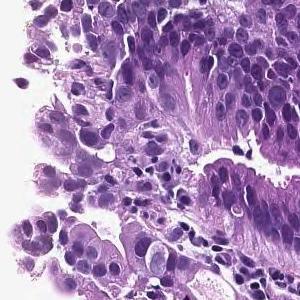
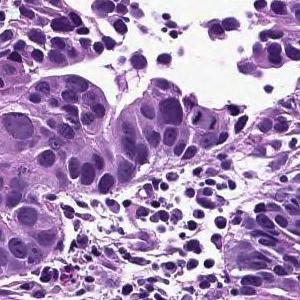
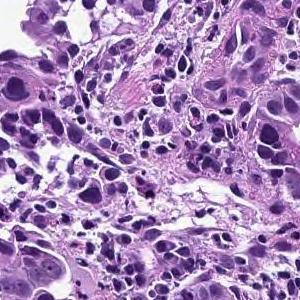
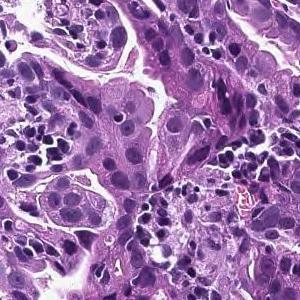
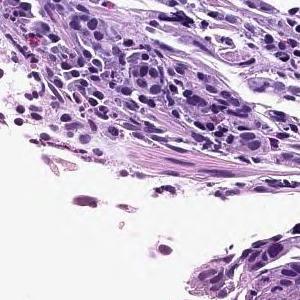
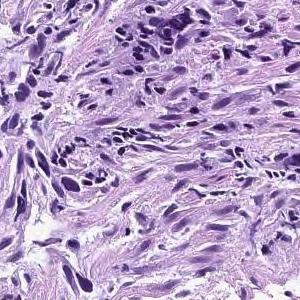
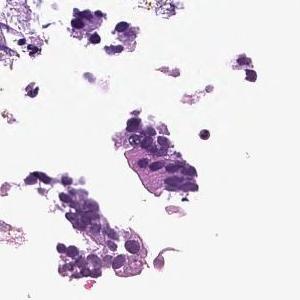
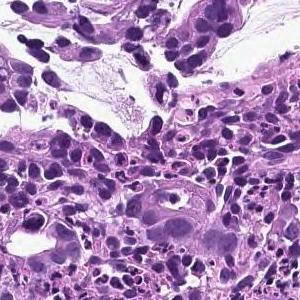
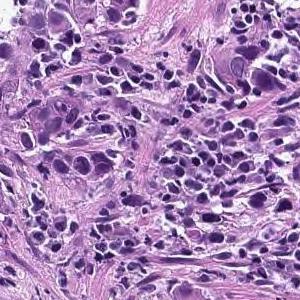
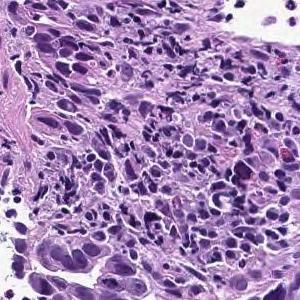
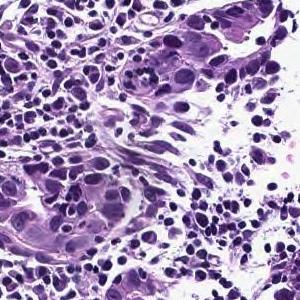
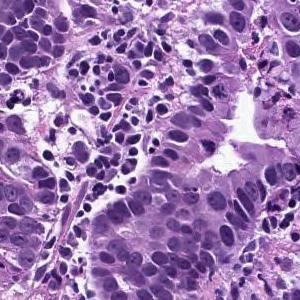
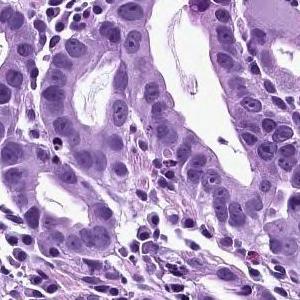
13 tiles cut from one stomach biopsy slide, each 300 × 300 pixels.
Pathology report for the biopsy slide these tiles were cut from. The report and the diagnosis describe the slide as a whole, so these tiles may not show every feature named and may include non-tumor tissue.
In the superficial epithelium, tumor tissue that invades by forming medium-sized to small, irregular ducts is observed. moderately differentiated tubular adenocarcinoma.
